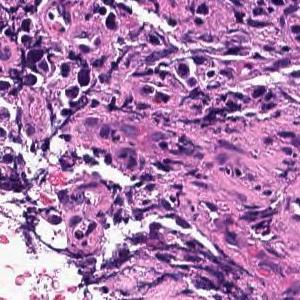
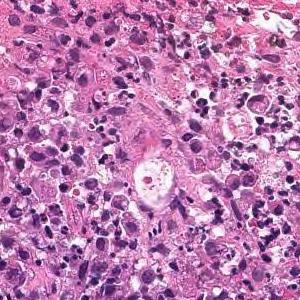
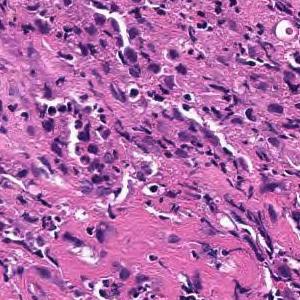
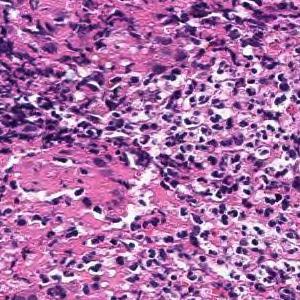
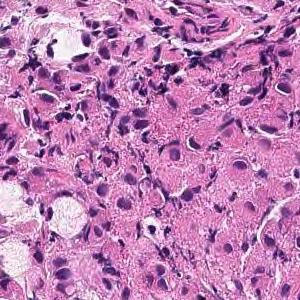
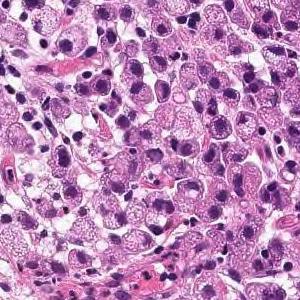
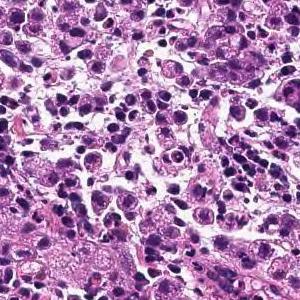
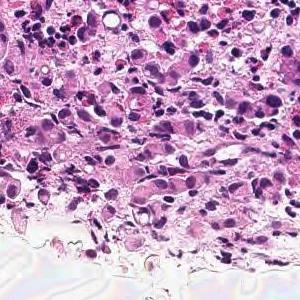
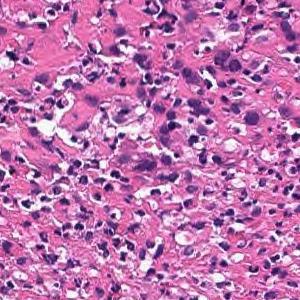
9 tiles cut from one stomach biopsy slide · 300 × 300 pixels each · H&E.
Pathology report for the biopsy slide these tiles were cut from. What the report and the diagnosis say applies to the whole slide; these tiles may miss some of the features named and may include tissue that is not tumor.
Tumor tissue consisting of diffusely infiltrated large atypical epithelial cells or signet ring atypical cells is observed in the superficial epithelium. Poorly differentiated adenocarcinoma, solid-type
Histologic type: Poorly differentiated adenocarcinoma, solid type, a category of the Japanese Classification of Gastric Carcinoma; in the WHO 2019 classification it is tubular adenocarcinoma, poorly differentiated.
